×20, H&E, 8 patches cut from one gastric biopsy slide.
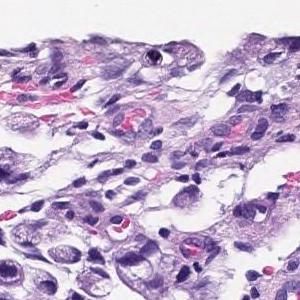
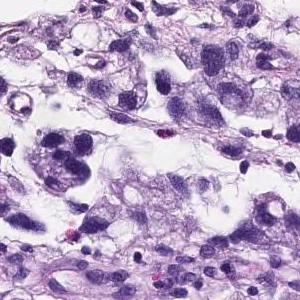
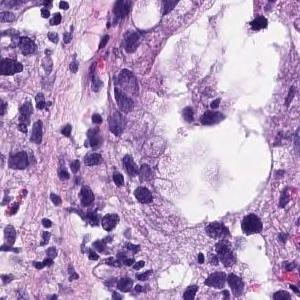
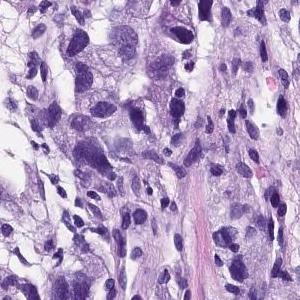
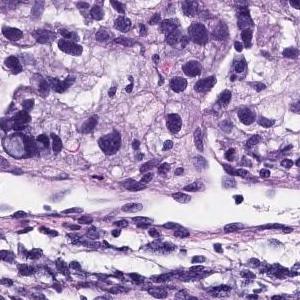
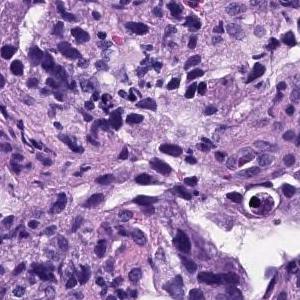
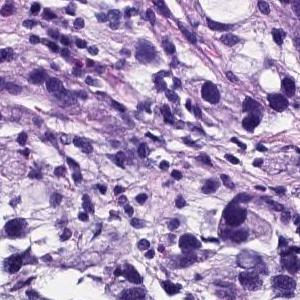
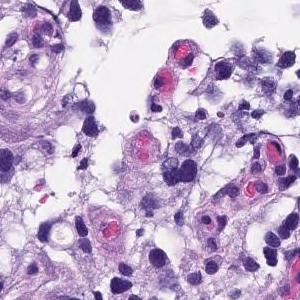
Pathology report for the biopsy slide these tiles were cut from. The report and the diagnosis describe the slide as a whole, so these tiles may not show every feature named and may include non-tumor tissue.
Medium to small, irregular glandular ducts are formed in the superficial epithelium, and in some cases, the glandular ducts are fused to show solid alveolar lesions and infiltrating tumor tissue is observed. Poorly differentiated adenocarcinoma, Moderately differentiated adenocarcinoma.
Dataset label: moderately differentiated tubular adenocarcinoma.
